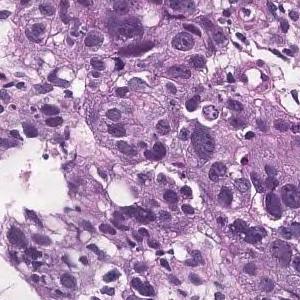
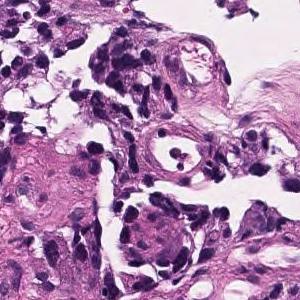
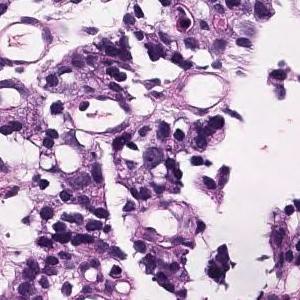
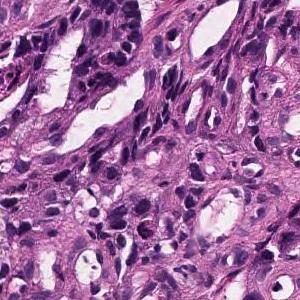
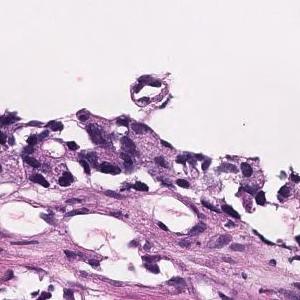
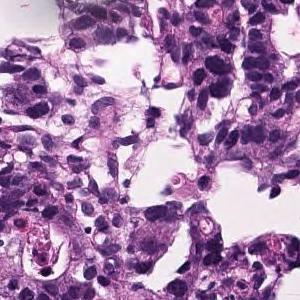
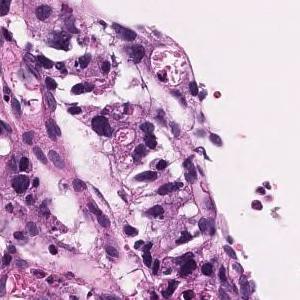
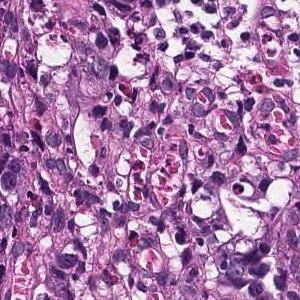
8 image tiles from a single gastric biopsy slide; scanned at ×20; H&E.
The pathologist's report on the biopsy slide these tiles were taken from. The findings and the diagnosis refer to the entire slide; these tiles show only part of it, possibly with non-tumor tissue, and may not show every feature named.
Tumor tissue consisting of medium-sized, cord-like or irregular glandular infiltration is observed in the superficial epithelium. Poorly differentiated adenocarcinoma, non-solid type or moderately differentiated tubular adenocarcinoma
The term "non-solid type" comes from the Japanese Classification of Gastric Carcinoma.
